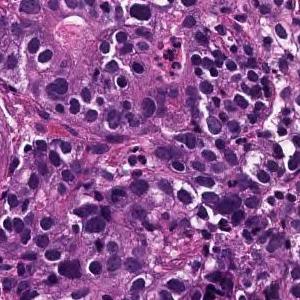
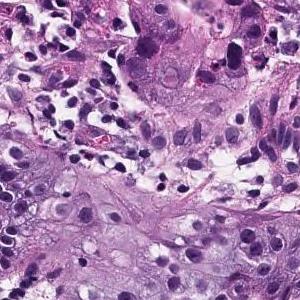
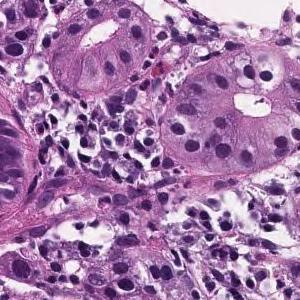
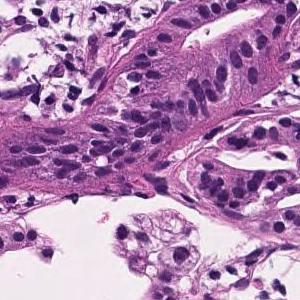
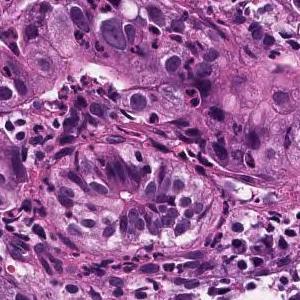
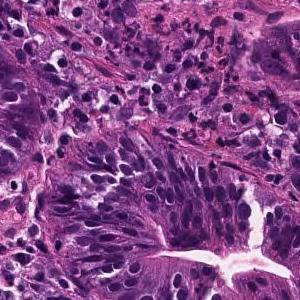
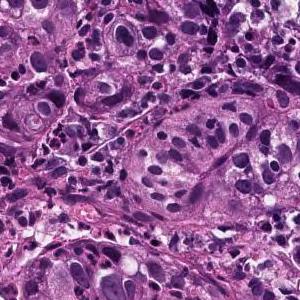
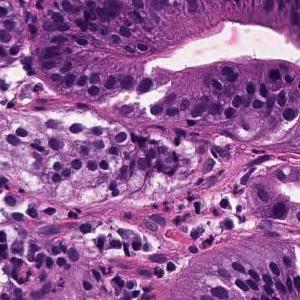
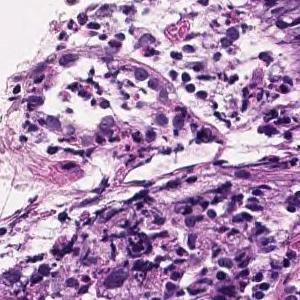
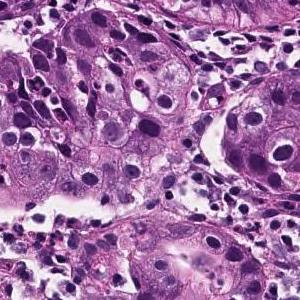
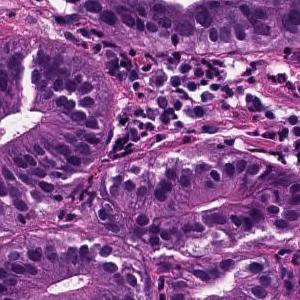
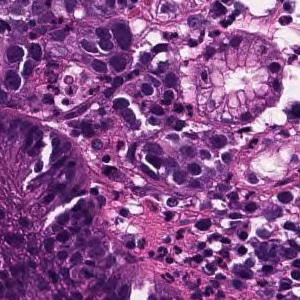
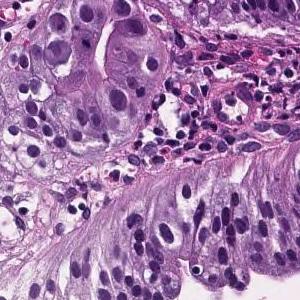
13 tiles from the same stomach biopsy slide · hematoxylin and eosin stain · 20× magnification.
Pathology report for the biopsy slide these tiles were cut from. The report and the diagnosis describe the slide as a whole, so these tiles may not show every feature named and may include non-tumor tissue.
In the superficial epithelium, tumor tissue that invades by forming medium-sized to small, irregular ducts is observed. moderately differentiated tubular adenocarcinoma.
